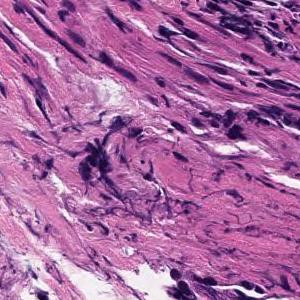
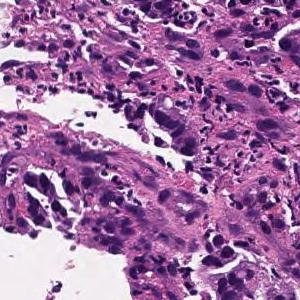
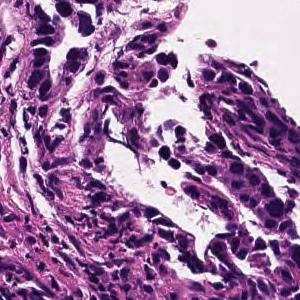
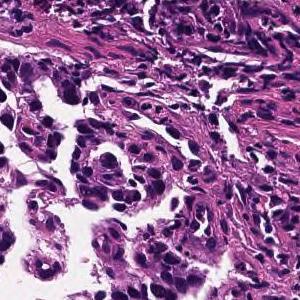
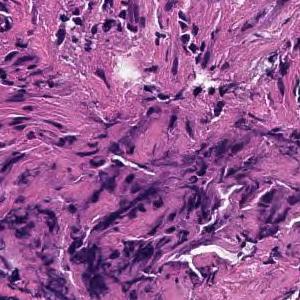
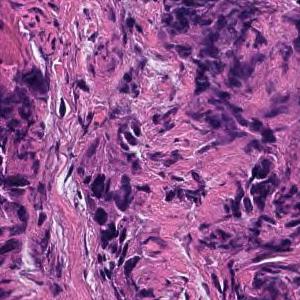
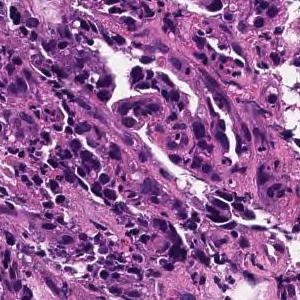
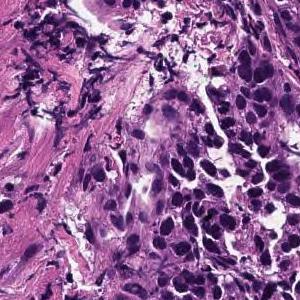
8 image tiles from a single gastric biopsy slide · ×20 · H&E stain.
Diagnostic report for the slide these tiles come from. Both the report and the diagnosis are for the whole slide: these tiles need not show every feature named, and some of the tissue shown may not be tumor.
In the superficial epithelium, tumor tissue that invades by forming medium-sized to small, irregular ducts is observed. moderately differentiated tubular adenocarcinoma.
